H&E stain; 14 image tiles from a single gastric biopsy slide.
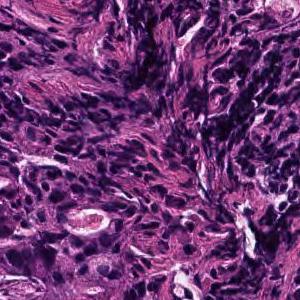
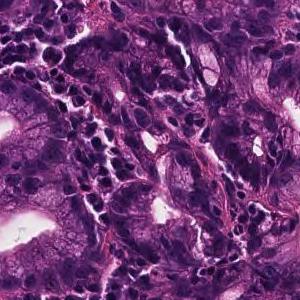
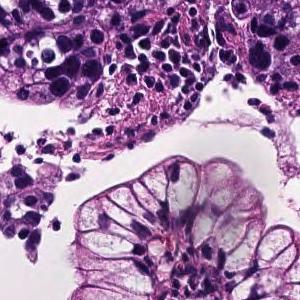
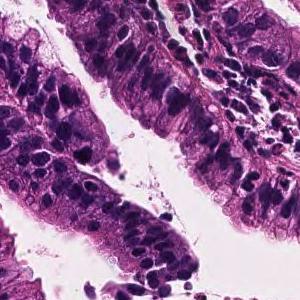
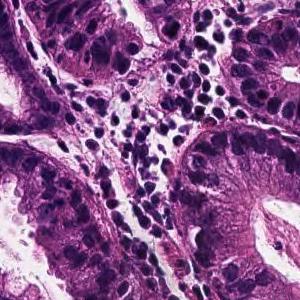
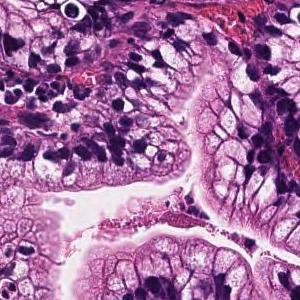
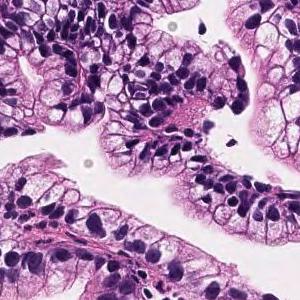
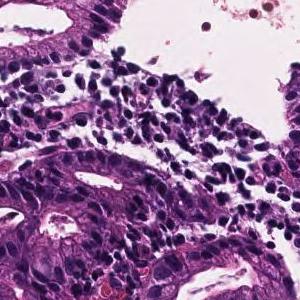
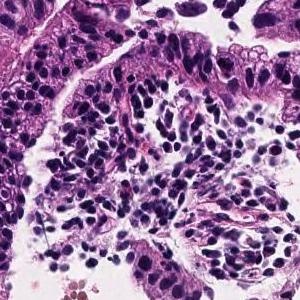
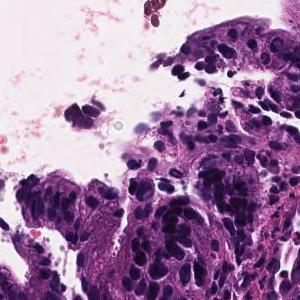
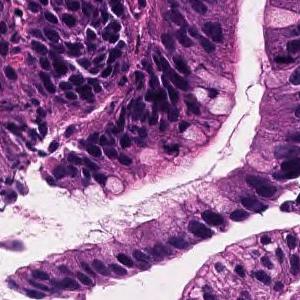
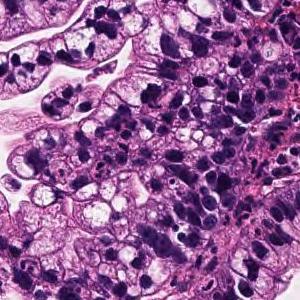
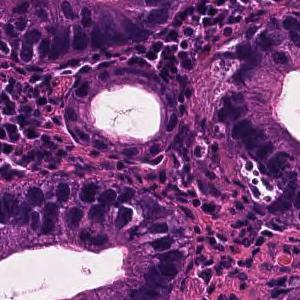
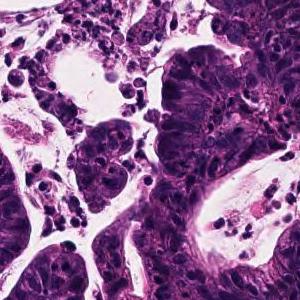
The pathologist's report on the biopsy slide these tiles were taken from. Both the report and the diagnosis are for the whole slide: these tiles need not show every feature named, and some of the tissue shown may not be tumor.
Tumor cells are large, highly columnar, large club-shaped nuclei, and are associated with chromatin aggregation. Papillary adenocarcinoma.
